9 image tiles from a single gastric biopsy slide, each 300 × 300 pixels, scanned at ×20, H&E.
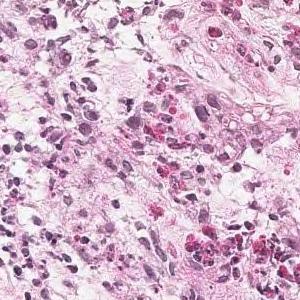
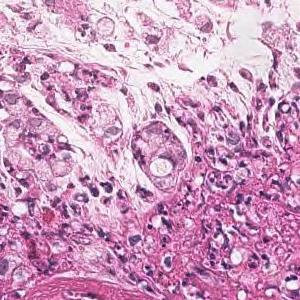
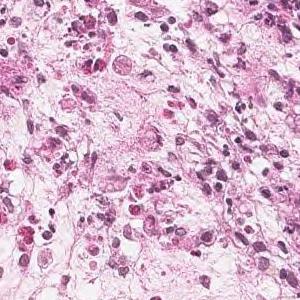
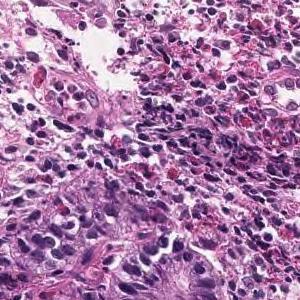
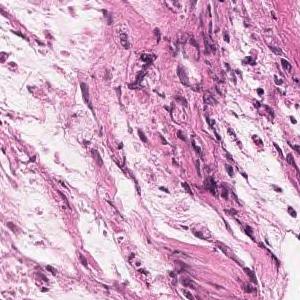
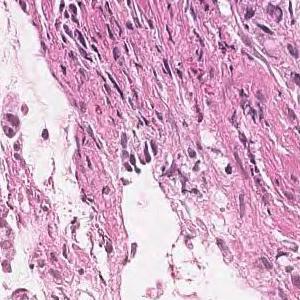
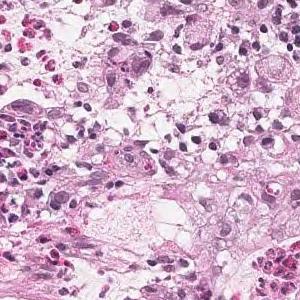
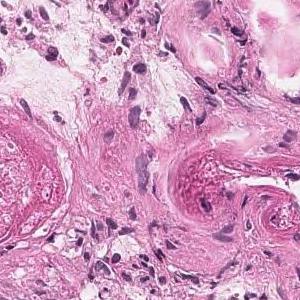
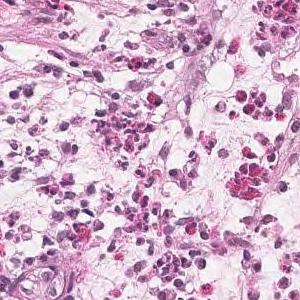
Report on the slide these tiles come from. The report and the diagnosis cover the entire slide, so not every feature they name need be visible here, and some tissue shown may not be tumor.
Tumor tissue is observed in which atypical epithelial cells with mucus in the vesicles proliferate while being isolated. Signet ring cell carcinoma
